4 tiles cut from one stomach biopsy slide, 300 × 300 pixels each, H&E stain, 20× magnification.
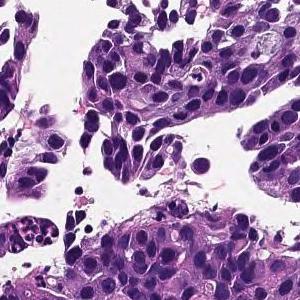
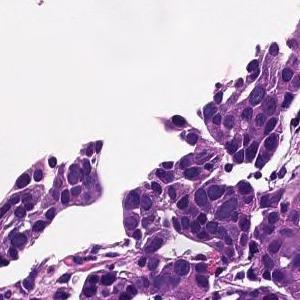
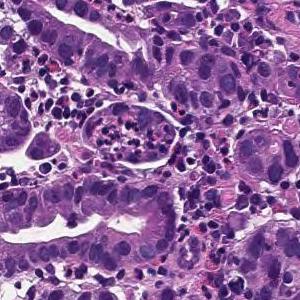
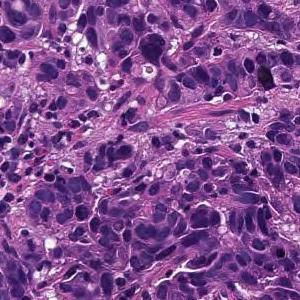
The pathologist's report on the biopsy slide these tiles were taken from. Both the report and the diagnosis are for the whole slide: these tiles need not show every feature named, and some of the tissue shown may not be tumor.
The superficial epithelium shows small cord-like infiltrating tumor tissue. There is no mucin production in tumor cells. Poorly differentiated adenocarcinoma, non-solid type
"Non-solid type" is a category of the Japanese Classification of Gastric Carcinoma.
